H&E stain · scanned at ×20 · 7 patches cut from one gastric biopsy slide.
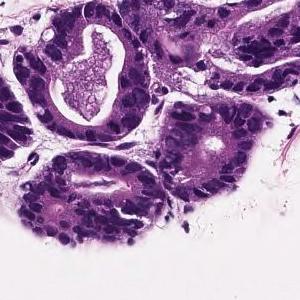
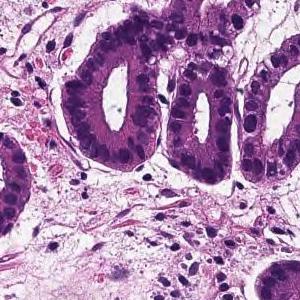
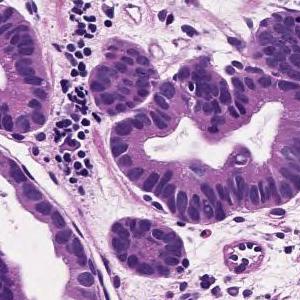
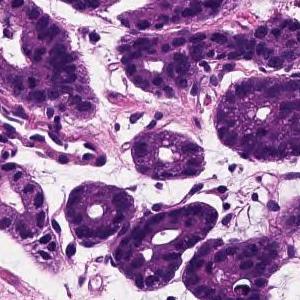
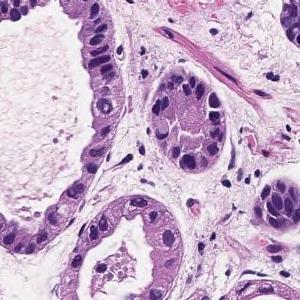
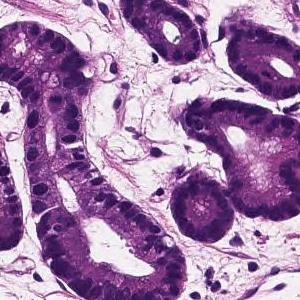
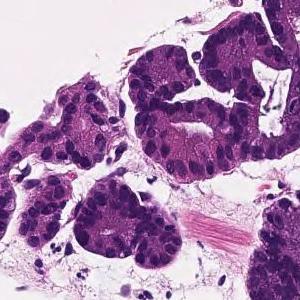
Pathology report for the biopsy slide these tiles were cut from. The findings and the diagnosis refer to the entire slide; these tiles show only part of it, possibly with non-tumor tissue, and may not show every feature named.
Tumor cells are large, highly columnar, large club-shaped nuclei, and are associated with chromatin aggregation. Papillary adenocarcinoma.
